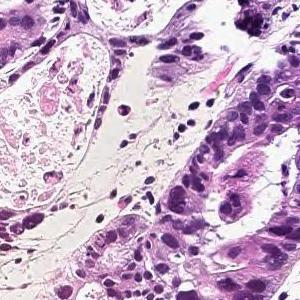
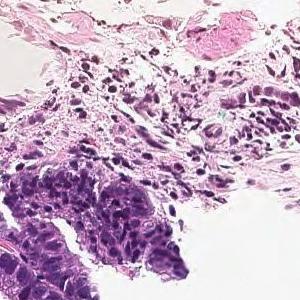
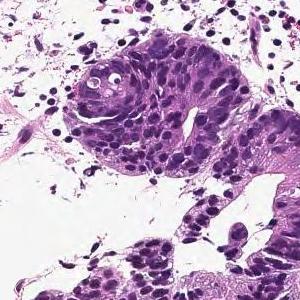
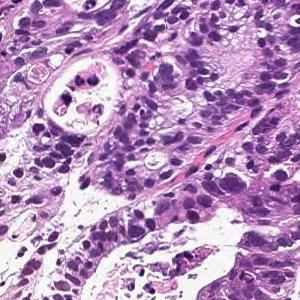
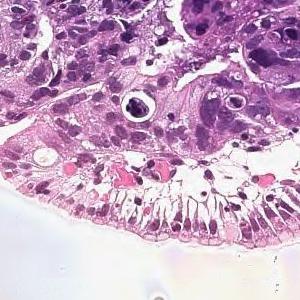
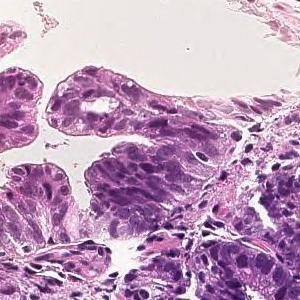
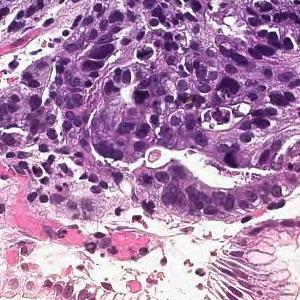
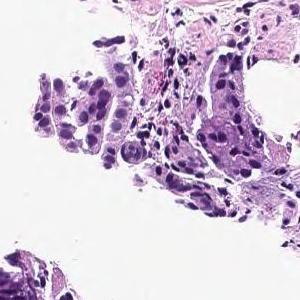
20× magnification, H&E stain, 8 patches cut from one gastric biopsy slide, 300 × 300 pixels each.
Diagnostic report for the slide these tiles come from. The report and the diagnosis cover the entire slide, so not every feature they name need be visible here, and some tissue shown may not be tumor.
On the superficial epithelium, tumor tissue consisting of large, irregular glandular ducts partially fused and infiltrated is observed. Well to moderately differentiated tubular adenocarcinoma (well differentiated tubular adenocarcinoma, moderately differentiated tubular adenocarcinoma)
Tumor subtype: well to moderately differentiated tubular adenocarcinoma.
